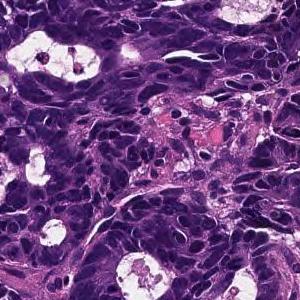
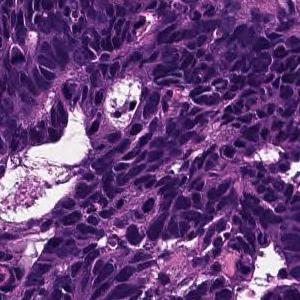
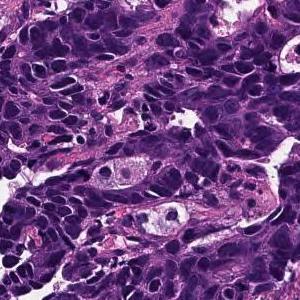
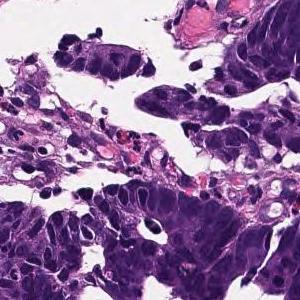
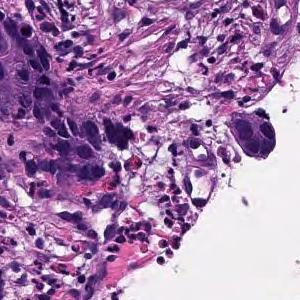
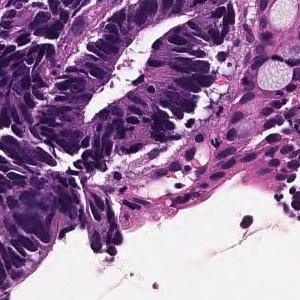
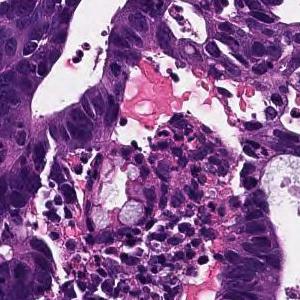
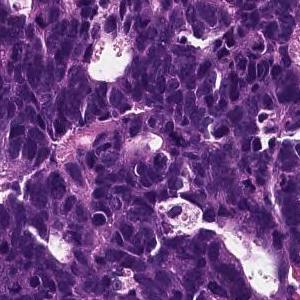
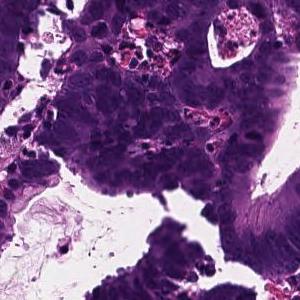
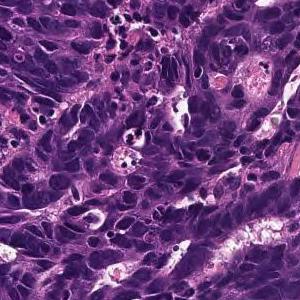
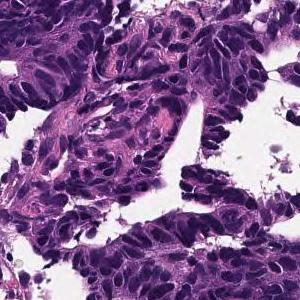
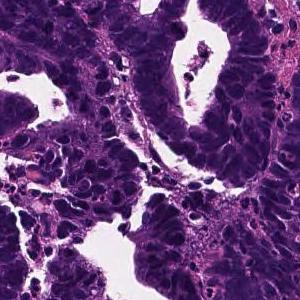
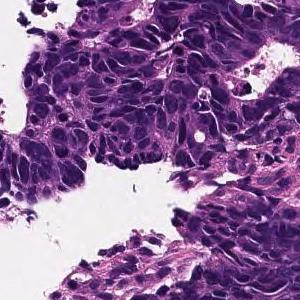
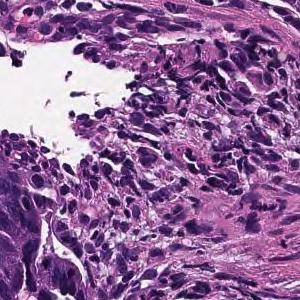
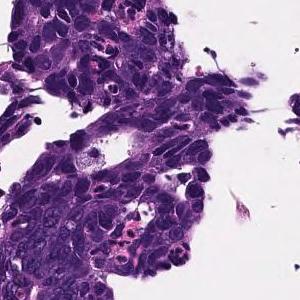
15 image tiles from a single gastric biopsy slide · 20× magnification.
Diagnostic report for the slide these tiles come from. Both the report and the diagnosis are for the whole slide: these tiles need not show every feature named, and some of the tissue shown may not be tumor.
In the superficial epithelium, tumor tissue that invades by forming medium-sized to small, irregular ducts is observed. moderately differentiated tubular adenocarcinoma.
